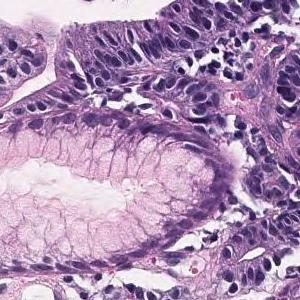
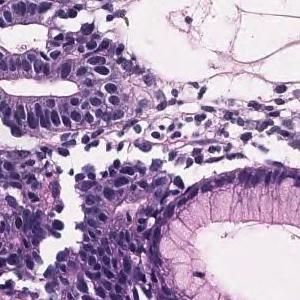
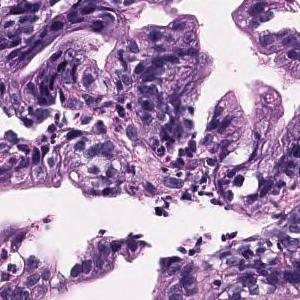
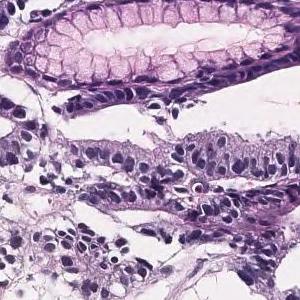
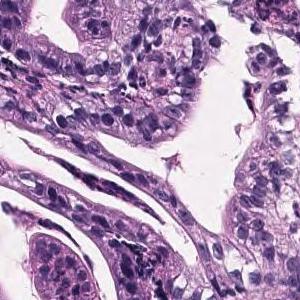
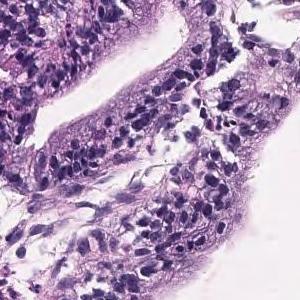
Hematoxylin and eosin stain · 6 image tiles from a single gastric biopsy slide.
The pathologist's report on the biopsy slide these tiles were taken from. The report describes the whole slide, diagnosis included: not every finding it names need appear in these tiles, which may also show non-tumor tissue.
Tumor tissue in which highly columnar atypical epithelial cells with nuclear enlargement and increased nuclear chromatin show papillary to papillary ductal structure and proliferate is observed. Papillary adenocarcinoma.
